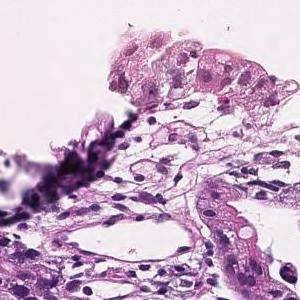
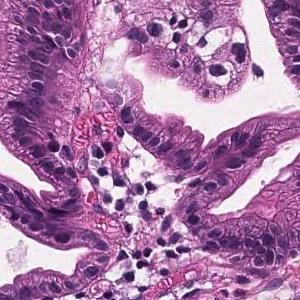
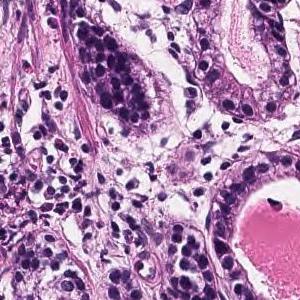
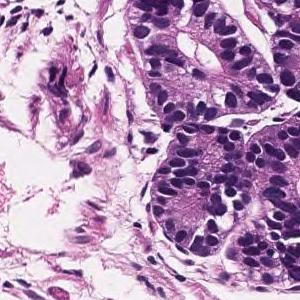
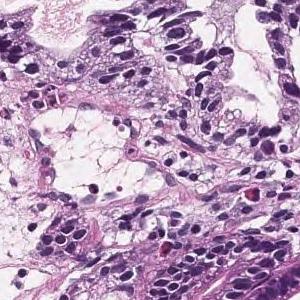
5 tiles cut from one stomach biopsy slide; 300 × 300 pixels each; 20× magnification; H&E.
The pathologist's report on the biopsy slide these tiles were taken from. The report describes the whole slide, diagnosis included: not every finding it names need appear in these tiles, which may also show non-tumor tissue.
Tumor tissue consisting of medium-sized and irregular ducts is observed infiltrating in the superficial epithelium. Tumor cells are highly columnar, with nuclei aligned basolaterally and polarized. Well differentiated tubular adenocarcinoma.
